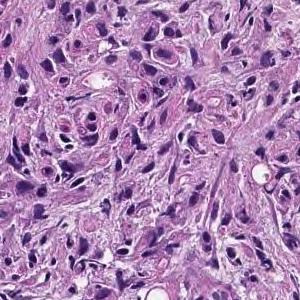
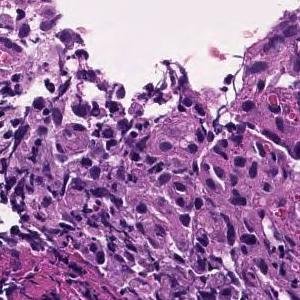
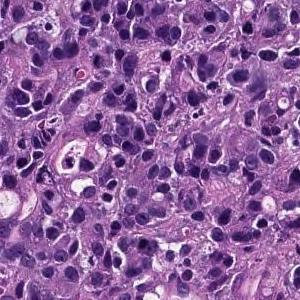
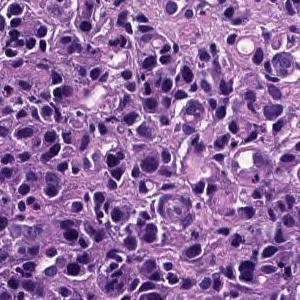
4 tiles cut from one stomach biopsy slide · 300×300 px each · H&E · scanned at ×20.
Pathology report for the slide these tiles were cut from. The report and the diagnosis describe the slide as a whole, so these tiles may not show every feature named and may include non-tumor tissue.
The superficial epithelium shows a large sheet-like shape, and some tumor tissue infiltrates with small irregular ducts. Poorly differentiated adenocarcinoma, solid-type
Tumor subtype: poorly differentiated adenocarcinoma, solid type (Japanese Classification of Gastric Carcinoma). The WHO 2019 equivalent is tubular adenocarcinoma, poorly differentiated.
